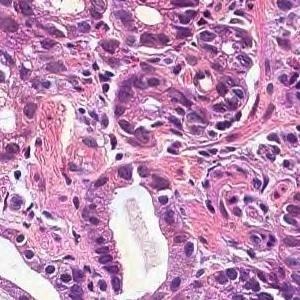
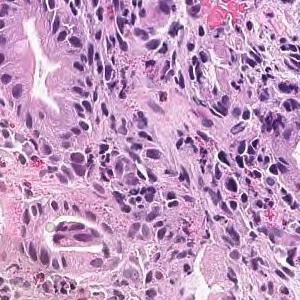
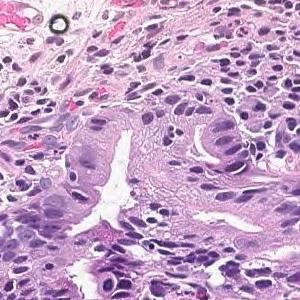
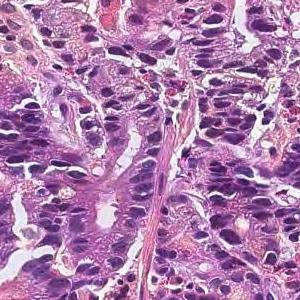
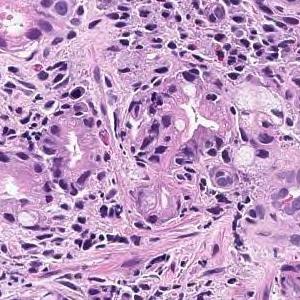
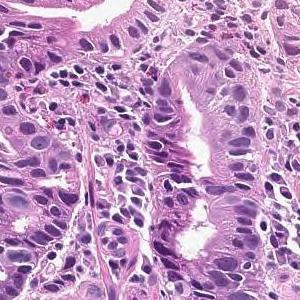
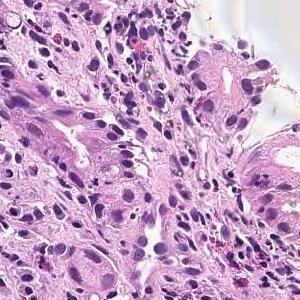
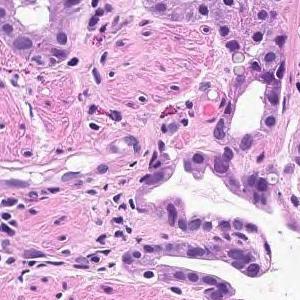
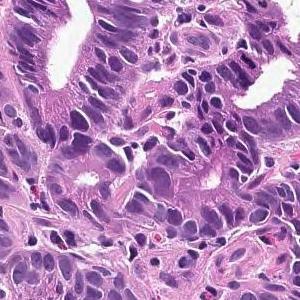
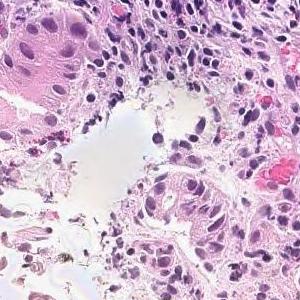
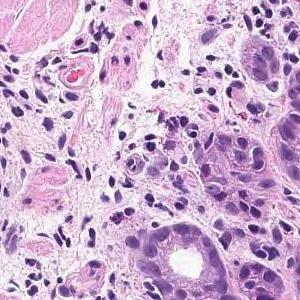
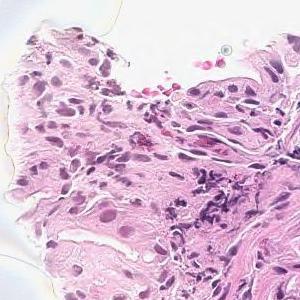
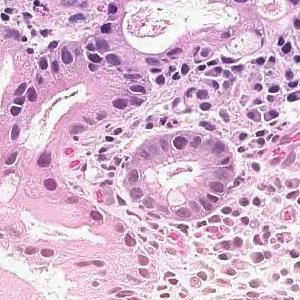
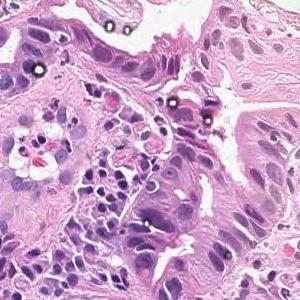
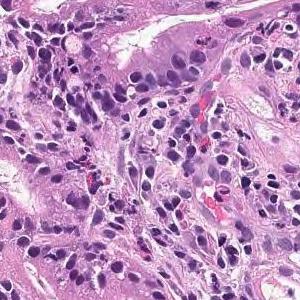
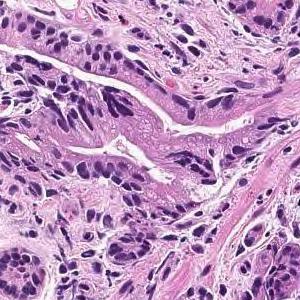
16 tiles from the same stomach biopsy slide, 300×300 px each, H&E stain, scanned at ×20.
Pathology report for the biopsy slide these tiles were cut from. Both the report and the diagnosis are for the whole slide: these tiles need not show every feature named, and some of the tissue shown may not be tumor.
In the superficial epithelium, tumor tissue that invades by forming medium-sized to small, irregular ducts is observed. moderately differentiated tubular adenocarcinoma.
